4 image tiles from a single gastric biopsy slide; H&E stain; ×20.
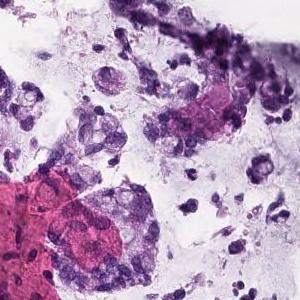
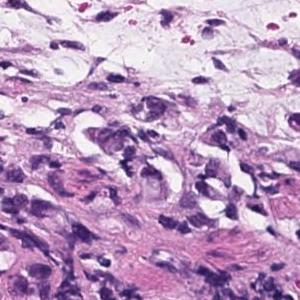
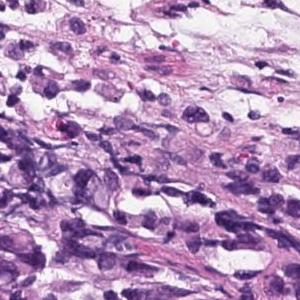
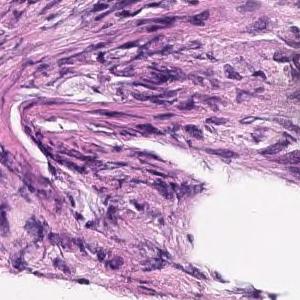
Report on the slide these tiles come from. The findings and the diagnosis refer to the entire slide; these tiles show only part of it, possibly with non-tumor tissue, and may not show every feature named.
Poorly connected atypical epithelium with mucous vacuoles in the cytoplasm proliferating while floating with mucus accumulation outside the cell is observed. Mucinous adenocarcinoma
